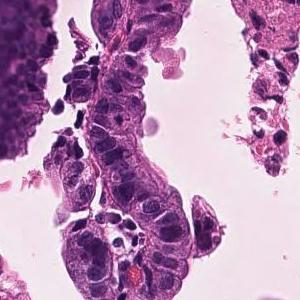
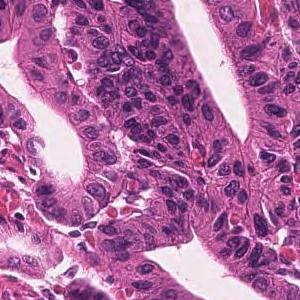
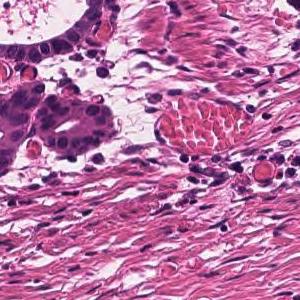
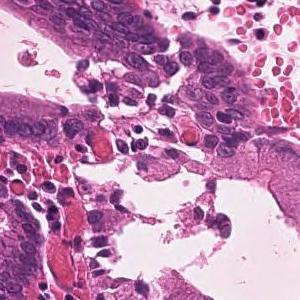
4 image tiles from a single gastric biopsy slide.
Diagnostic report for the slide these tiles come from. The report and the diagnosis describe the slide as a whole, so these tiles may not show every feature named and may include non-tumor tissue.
Infiltrating tumor tissue with medium-sized, irregular ductal structure or large papillary appearance is observed. Well differentiated tubular adenocarcinoma
